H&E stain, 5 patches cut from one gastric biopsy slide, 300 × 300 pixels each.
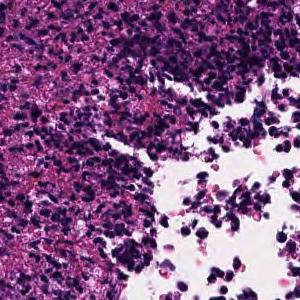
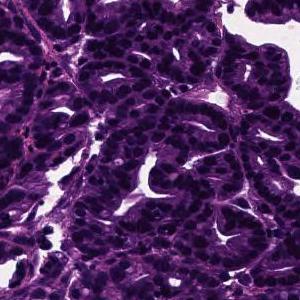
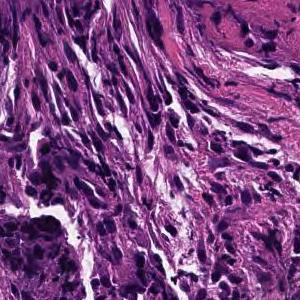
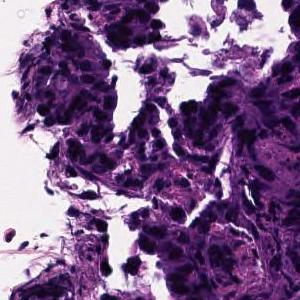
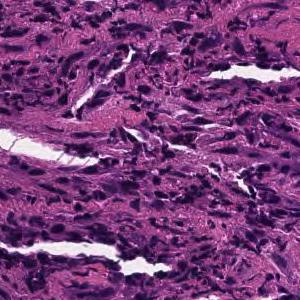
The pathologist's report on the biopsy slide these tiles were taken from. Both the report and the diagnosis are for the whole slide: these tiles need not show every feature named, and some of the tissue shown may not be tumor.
In the superficial epithelium, tumor tissue that invades by forming medium-sized to small, irregular ducts is observed. moderately differentiated tubular adenocarcinoma.
